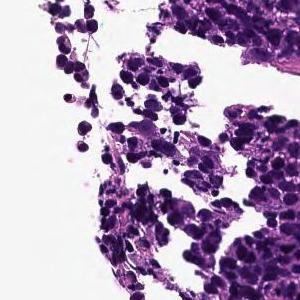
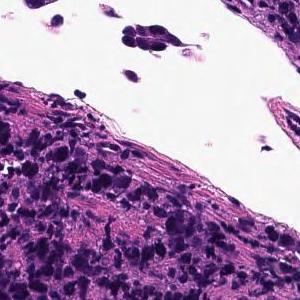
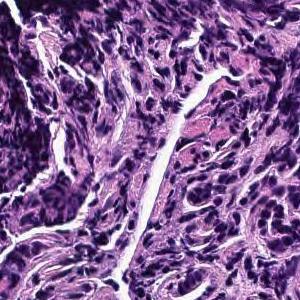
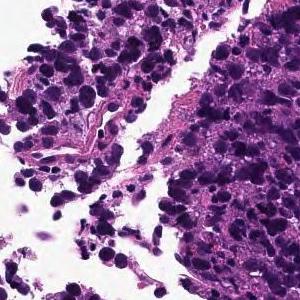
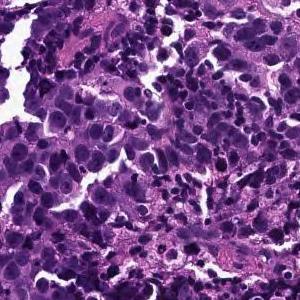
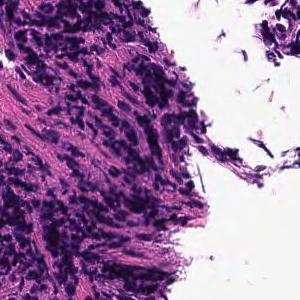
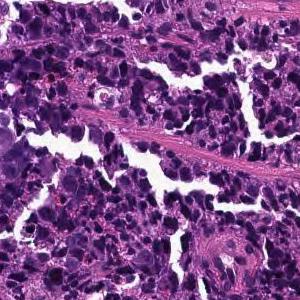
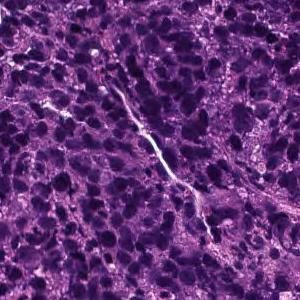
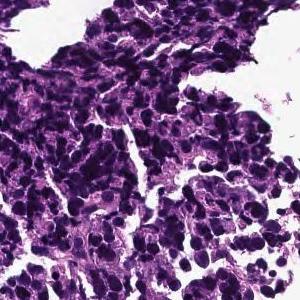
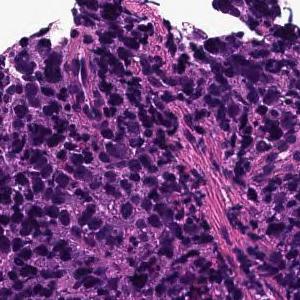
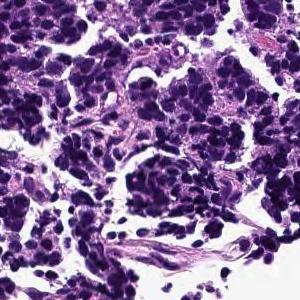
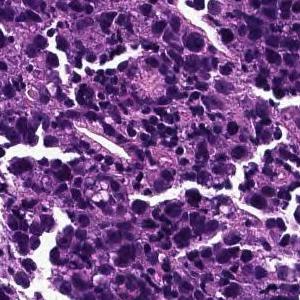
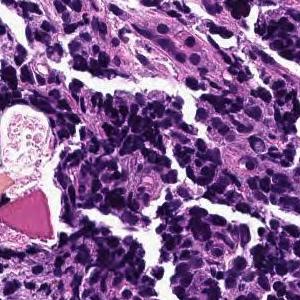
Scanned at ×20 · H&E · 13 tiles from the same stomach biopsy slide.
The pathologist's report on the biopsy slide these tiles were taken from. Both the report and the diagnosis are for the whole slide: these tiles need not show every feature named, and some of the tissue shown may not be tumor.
The superficial epithelium shows large alveolar or sheet-like forms, and some tumor tissue infiltrates with small irregular ducts. Poorly differentiated adenocarcinoma, solid-type
Histologic type: Poorly differentiated adenocarcinoma, solid type. This name comes from the Japanese Classification of Gastric Carcinoma; the WHO 2019 classification calls it tubular adenocarcinoma, poorly differentiated.
